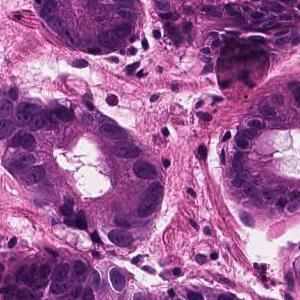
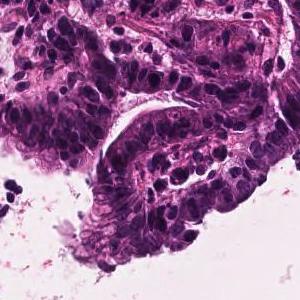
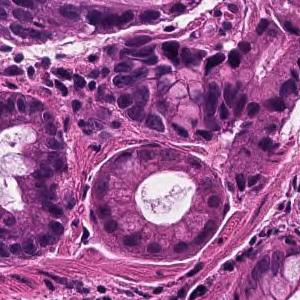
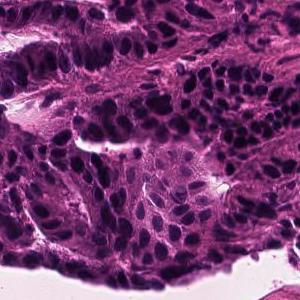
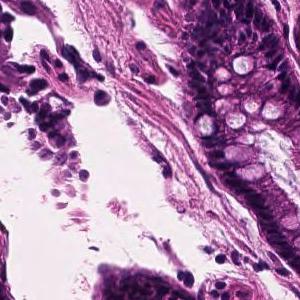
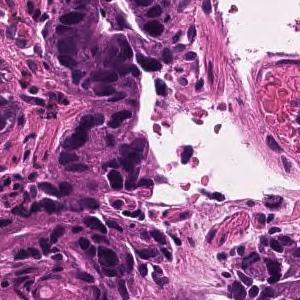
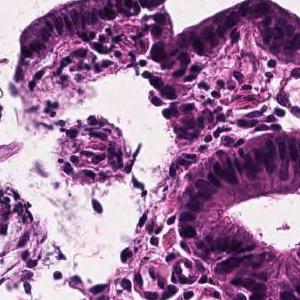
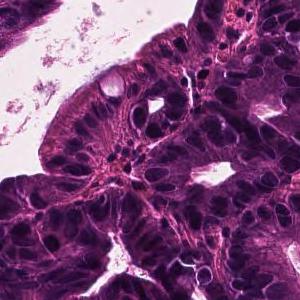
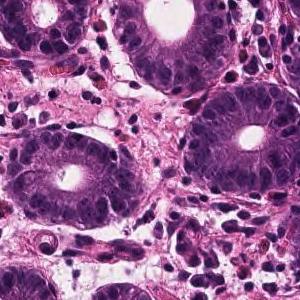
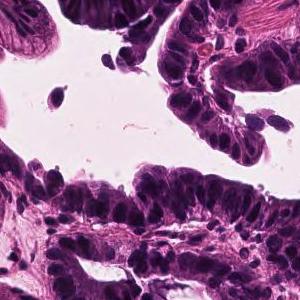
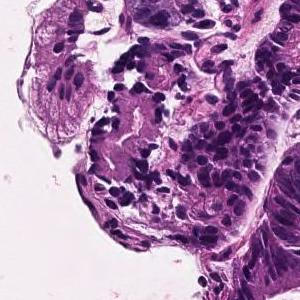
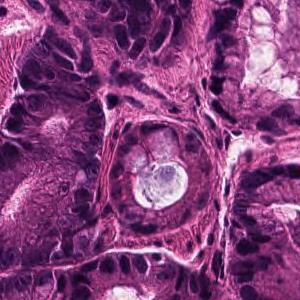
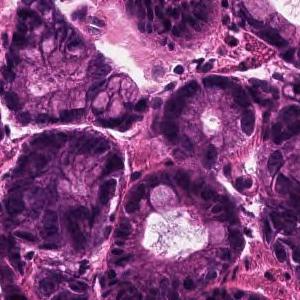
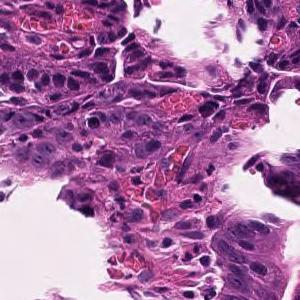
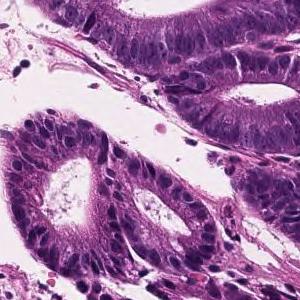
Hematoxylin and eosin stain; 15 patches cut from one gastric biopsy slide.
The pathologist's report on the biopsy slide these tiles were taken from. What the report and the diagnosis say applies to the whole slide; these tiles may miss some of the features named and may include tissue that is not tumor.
In the superficial epithelium, tumor tissue that invades by forming medium-sized to small, irregular ducts is observed. Well differentiated tubular adenocarcinoma.
